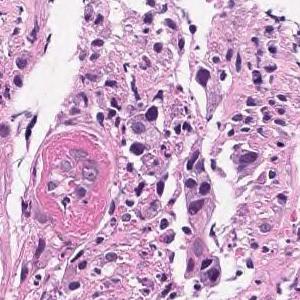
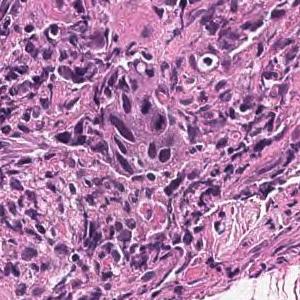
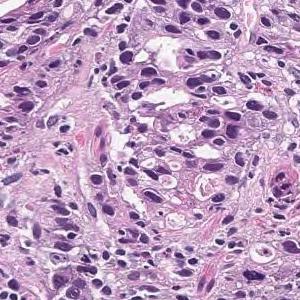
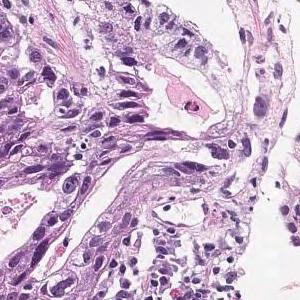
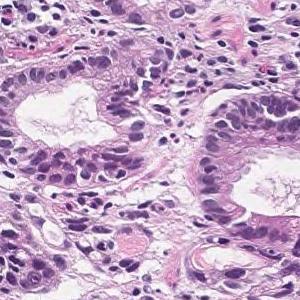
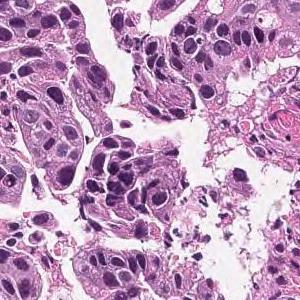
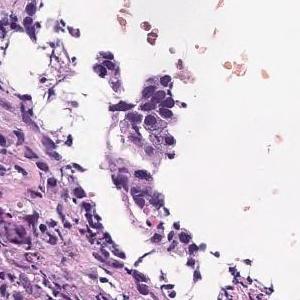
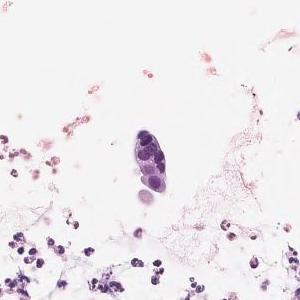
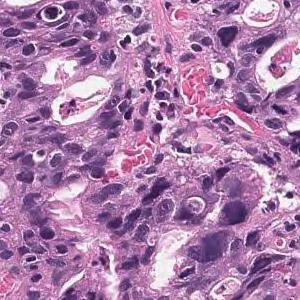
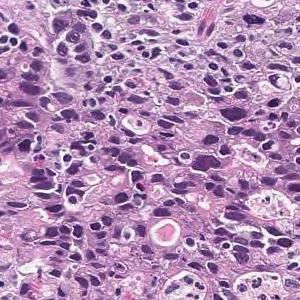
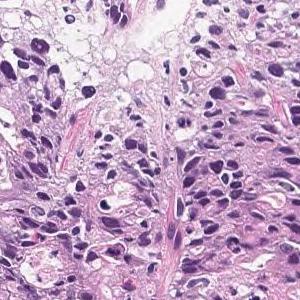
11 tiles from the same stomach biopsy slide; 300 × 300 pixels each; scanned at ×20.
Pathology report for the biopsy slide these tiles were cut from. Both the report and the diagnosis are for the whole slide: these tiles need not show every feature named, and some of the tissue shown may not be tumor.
Tumor cells are large, highly columnar, large club-shaped nuclei, and are associated with chromatin aggregation. Papillary adenocarcinoma.
